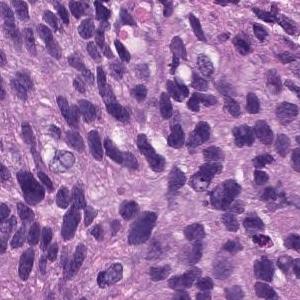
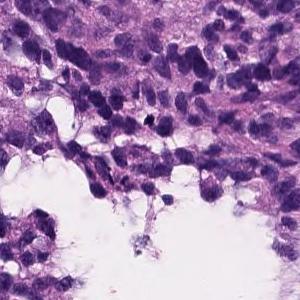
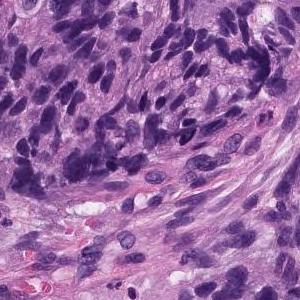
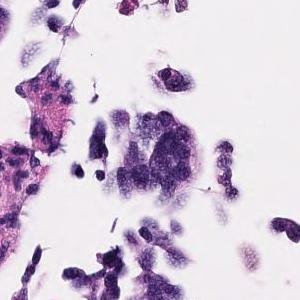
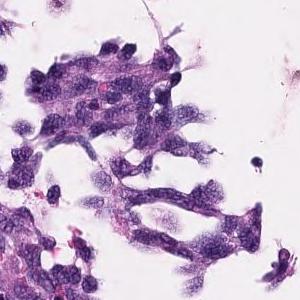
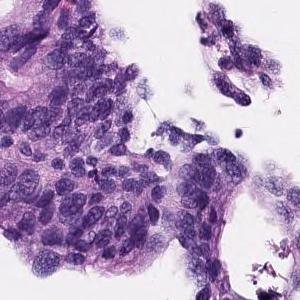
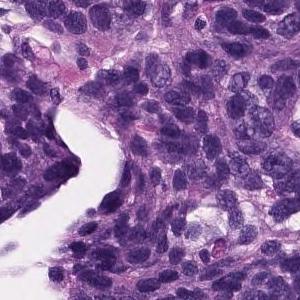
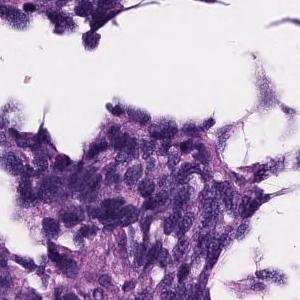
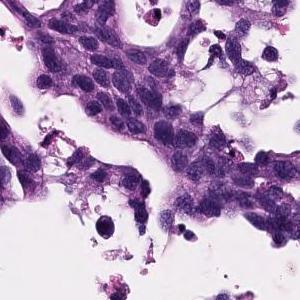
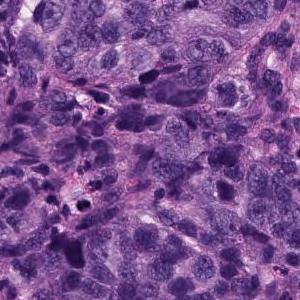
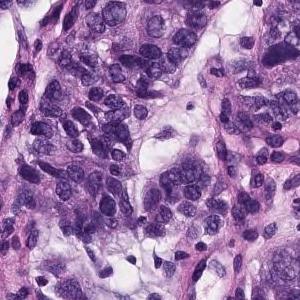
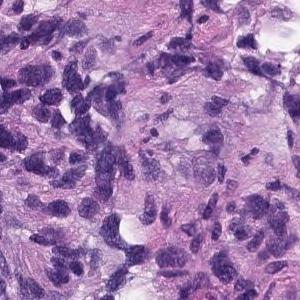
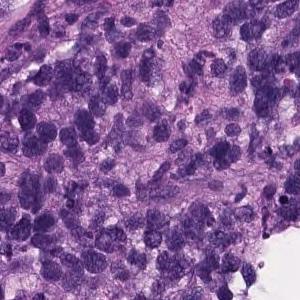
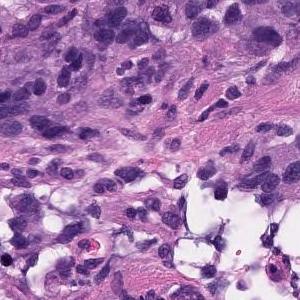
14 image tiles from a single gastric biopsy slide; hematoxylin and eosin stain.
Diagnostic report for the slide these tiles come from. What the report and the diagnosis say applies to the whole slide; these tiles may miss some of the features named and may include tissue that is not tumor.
Atypical l cells with atypical nuclei under the mucosa growing in isolation and scattered. Poorly differentiated adenocarcinoma (poorly differentiated adenocarcinoma, non-solid type)
Subtype: Poorly differentiated adenocarcinoma, non-solid type.
The non-solid type named here is a Japanese Classification of Gastric Carcinoma category.
